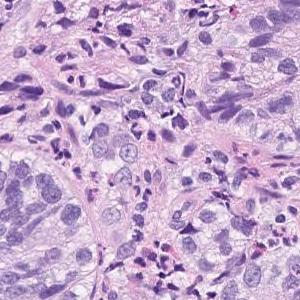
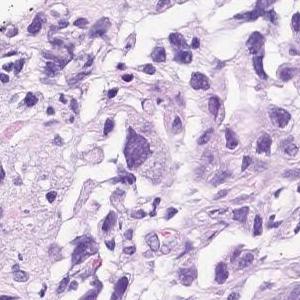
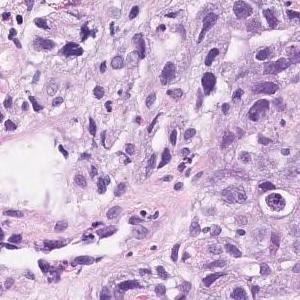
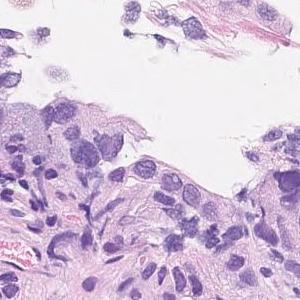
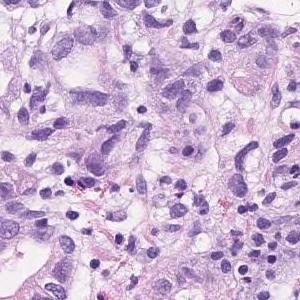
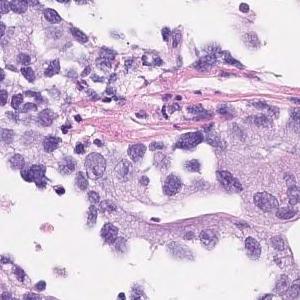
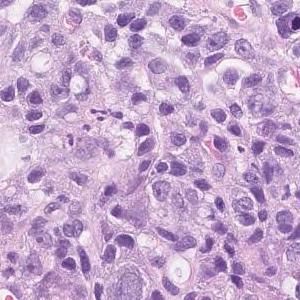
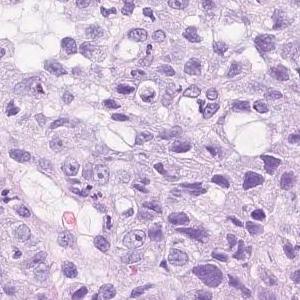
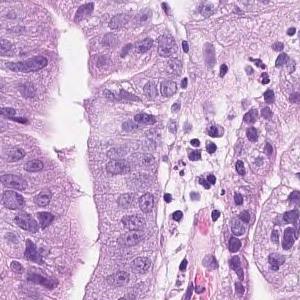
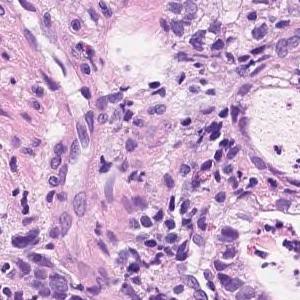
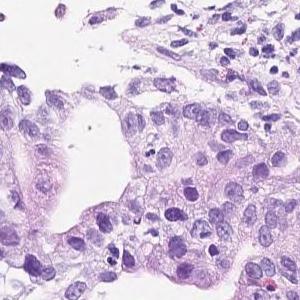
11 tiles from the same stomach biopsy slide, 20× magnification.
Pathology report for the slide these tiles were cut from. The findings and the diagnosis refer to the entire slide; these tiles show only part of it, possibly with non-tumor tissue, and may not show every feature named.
In the superficial epithelium, tumor tissue that invades by forming medium-sized to small, irregular ducts is observed. Moderately to poorly differentiated adenocarcinoma
